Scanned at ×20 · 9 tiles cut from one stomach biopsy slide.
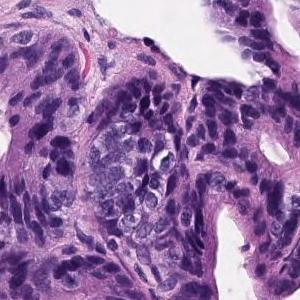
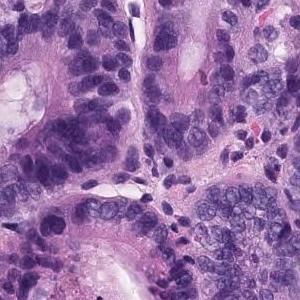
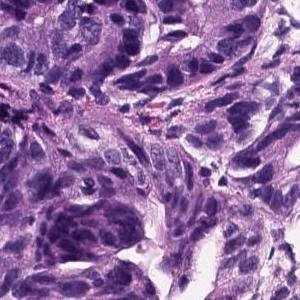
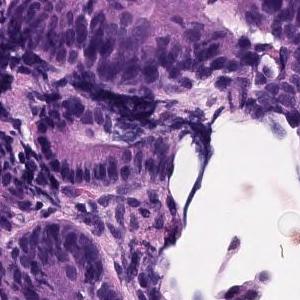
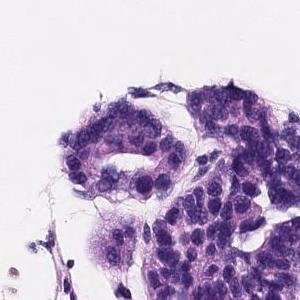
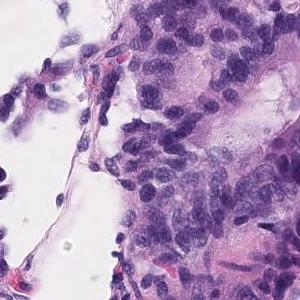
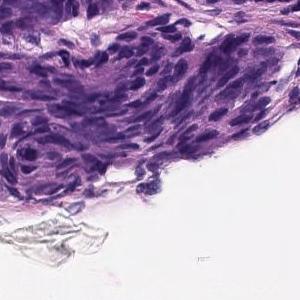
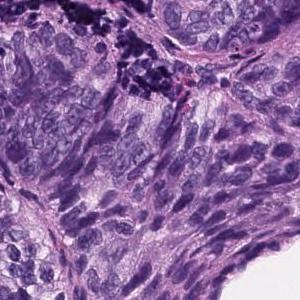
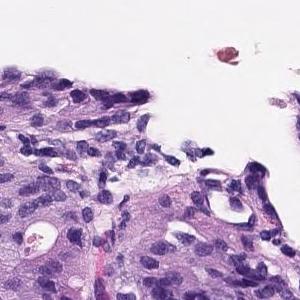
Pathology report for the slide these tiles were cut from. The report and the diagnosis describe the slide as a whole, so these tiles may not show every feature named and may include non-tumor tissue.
In the gastric mucosa, there is a dense proliferation of strong atypical tubules of nuclear atypia. Well differentiated adenocarcinoma.
Histologic type: Well differentiated tubular adenocarcinoma.
